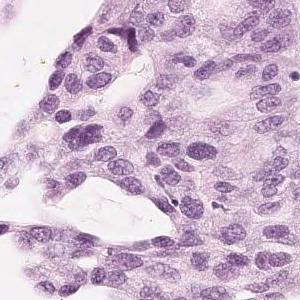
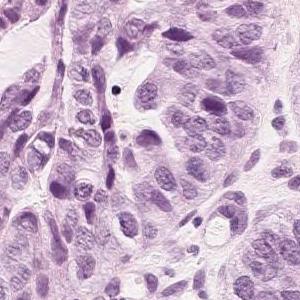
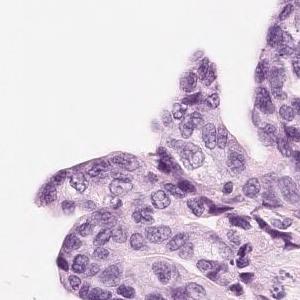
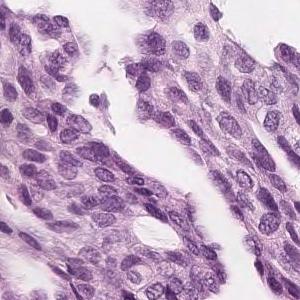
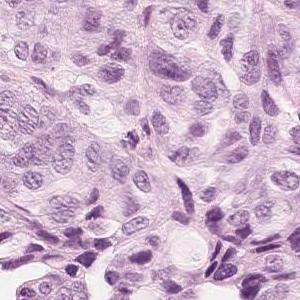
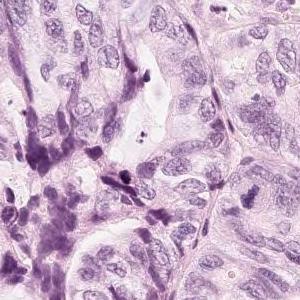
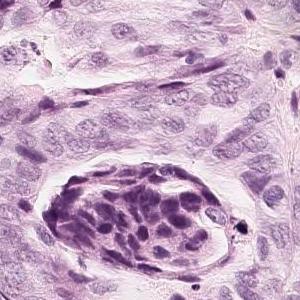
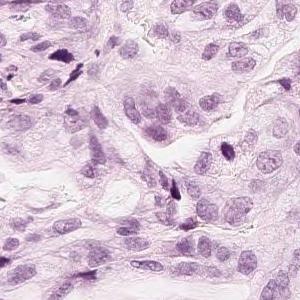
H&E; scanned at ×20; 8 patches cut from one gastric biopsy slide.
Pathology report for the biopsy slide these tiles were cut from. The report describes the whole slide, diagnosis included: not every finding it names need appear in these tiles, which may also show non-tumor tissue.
Tumor tissue in which medium-sized atypical epithelial cells with a large N/C ratio grow densely while becoming alveolar to cord-like with duct formation is observed. moderately differentiated tubular adenocarcinoma
